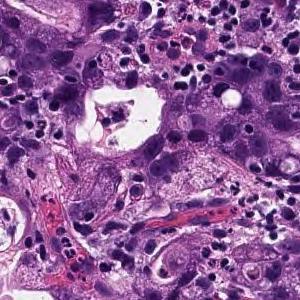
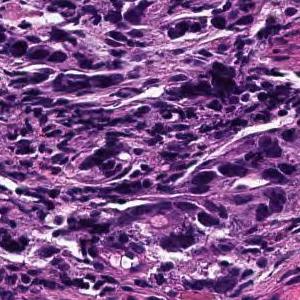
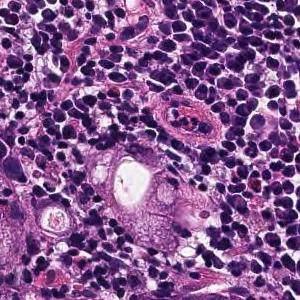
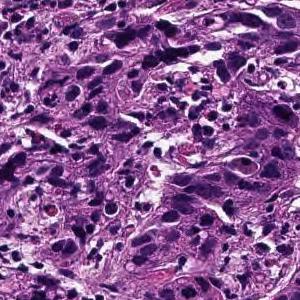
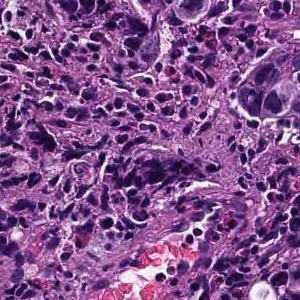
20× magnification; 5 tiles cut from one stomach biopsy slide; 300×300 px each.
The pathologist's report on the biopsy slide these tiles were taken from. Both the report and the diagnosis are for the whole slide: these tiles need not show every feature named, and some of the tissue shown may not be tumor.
Tumor tissue consisting of medium-sized, cord-like or irregular glandular infiltration is observed in the superficial epithelium. Poorly differentiated adenocarcinoma, non-solid type or moderately differentiated tubular adenocarcinoma
Histologic type: Moderately to poorly differentiated adenocarcinoma.
The non-solid type named here is a Japanese Classification of Gastric Carcinoma category.
